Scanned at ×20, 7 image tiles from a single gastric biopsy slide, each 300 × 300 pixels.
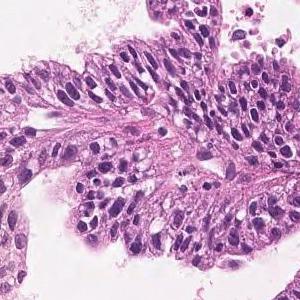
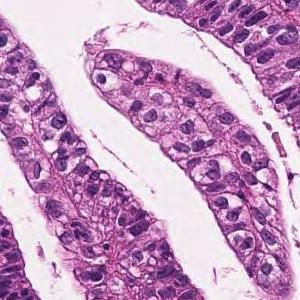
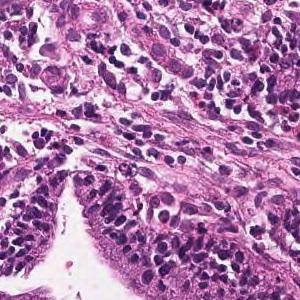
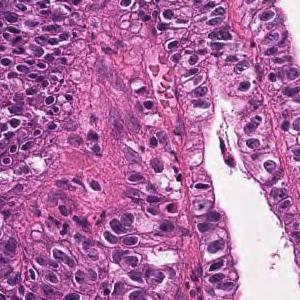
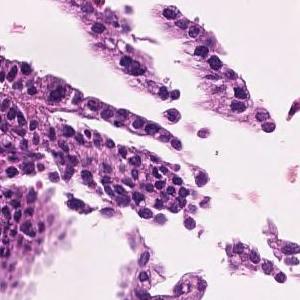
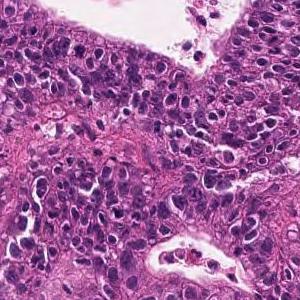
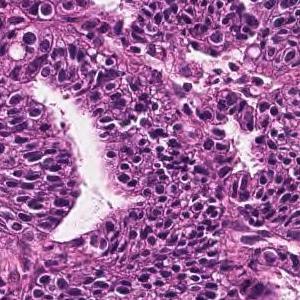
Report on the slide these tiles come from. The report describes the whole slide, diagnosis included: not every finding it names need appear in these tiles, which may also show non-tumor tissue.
Tumor cells are large, highly columnar, large club-shaped nuclei, and are associated with chromatin aggregation. Papillary adenocarcinoma.
